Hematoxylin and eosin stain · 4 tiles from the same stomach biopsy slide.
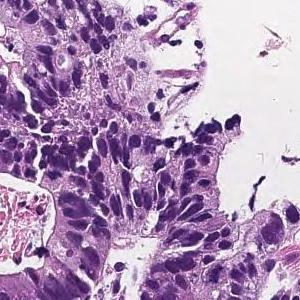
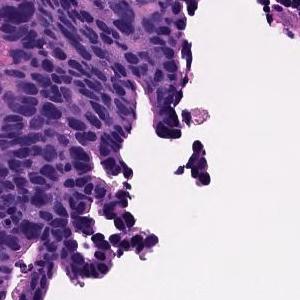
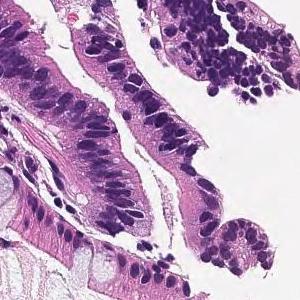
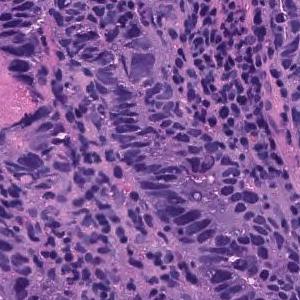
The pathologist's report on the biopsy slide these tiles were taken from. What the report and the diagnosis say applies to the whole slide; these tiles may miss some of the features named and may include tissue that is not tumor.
In the superficial epithelium, tumor tissue that invades by forming medium-sized to small, irregular ducts is observed. moderately differentiated tubular adenocarcinoma.
